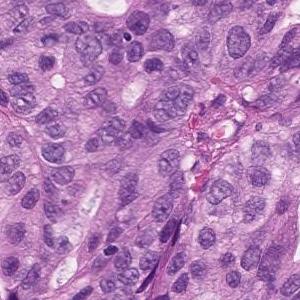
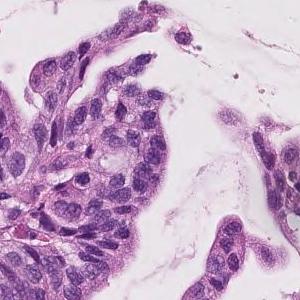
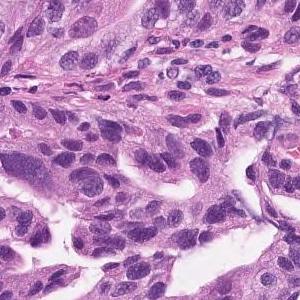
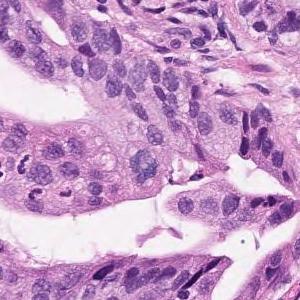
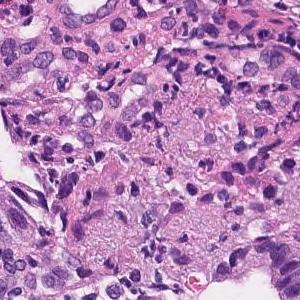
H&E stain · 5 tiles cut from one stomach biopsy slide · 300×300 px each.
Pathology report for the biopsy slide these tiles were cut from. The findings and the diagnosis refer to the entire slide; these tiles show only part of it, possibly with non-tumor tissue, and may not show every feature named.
Atypical epithelium forming papillary or sieving ducts and infiltrating growth is observed. Papillary adenocarcinoma.
